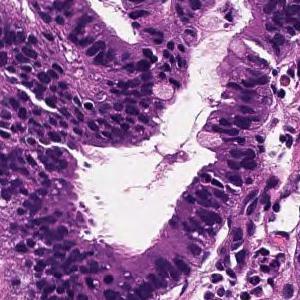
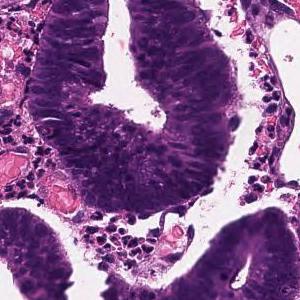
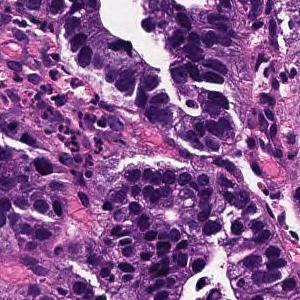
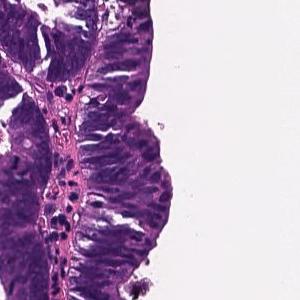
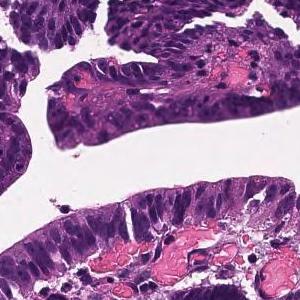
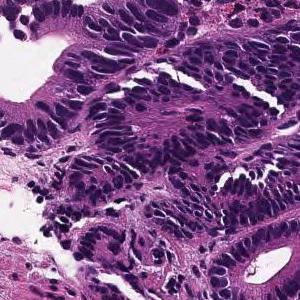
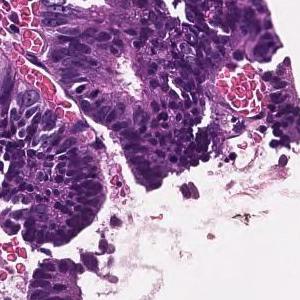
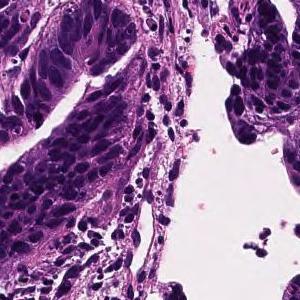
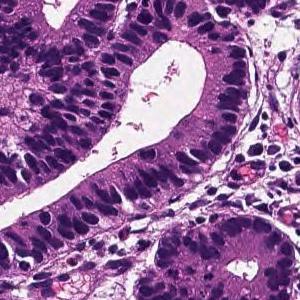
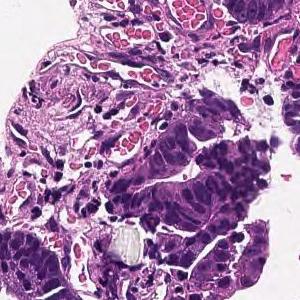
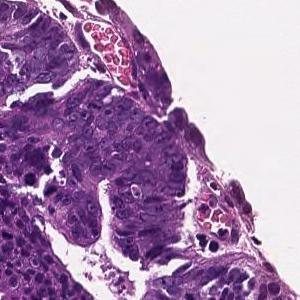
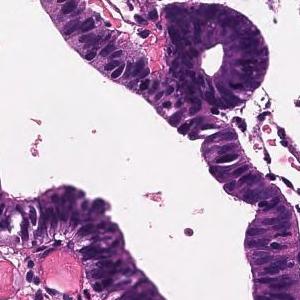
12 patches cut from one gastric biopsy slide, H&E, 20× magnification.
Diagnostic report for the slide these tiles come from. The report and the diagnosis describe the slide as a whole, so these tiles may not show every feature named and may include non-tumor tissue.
Tumor tissue consisting of large papillary structures is found in the superficial epithelium. Papillary adenocarcinoma.
